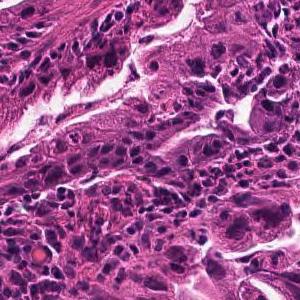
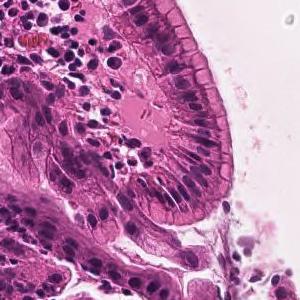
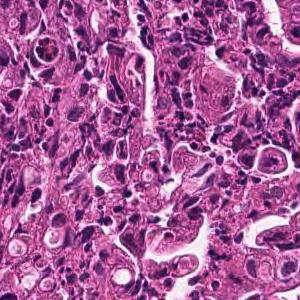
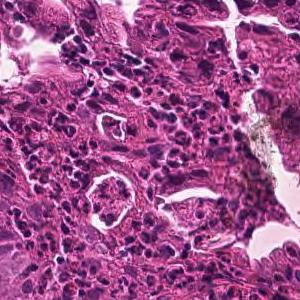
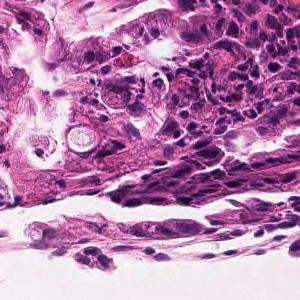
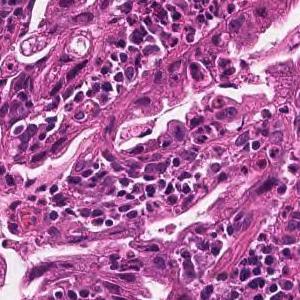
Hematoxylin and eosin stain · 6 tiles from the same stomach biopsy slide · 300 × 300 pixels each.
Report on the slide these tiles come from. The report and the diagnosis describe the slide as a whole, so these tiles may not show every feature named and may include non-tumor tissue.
Medium to small, irregular glandular ducts are formed in the superficial epithelium, and in some cases, the glandular ducts are fused to show solid alveolar lesions and infiltrating tumor tissue is observed. Moderately to poorly differentiated adenocarcinoma.
